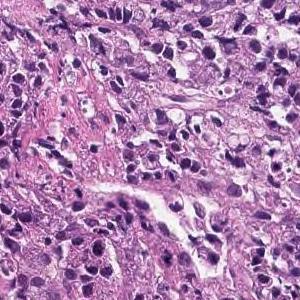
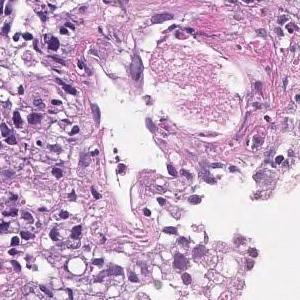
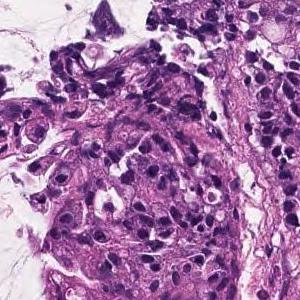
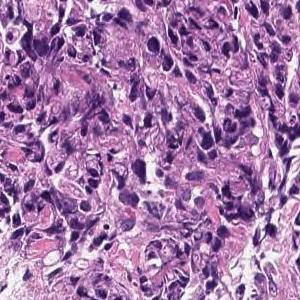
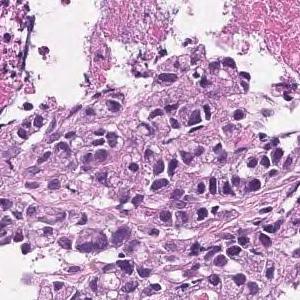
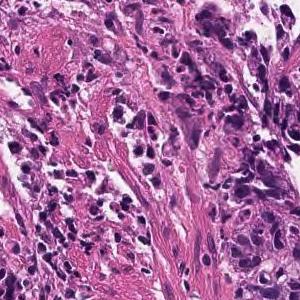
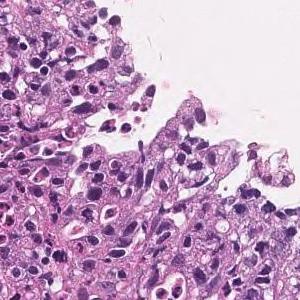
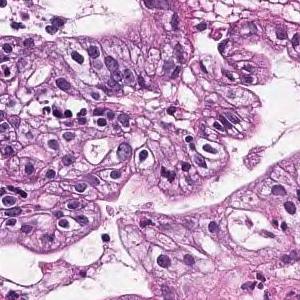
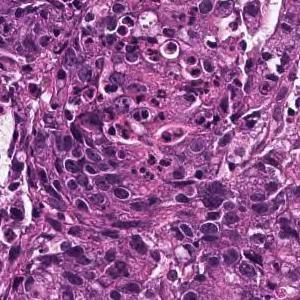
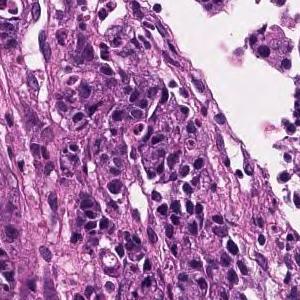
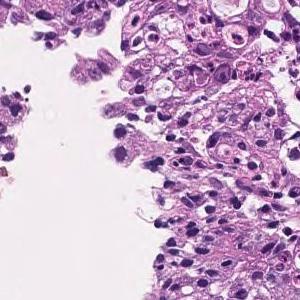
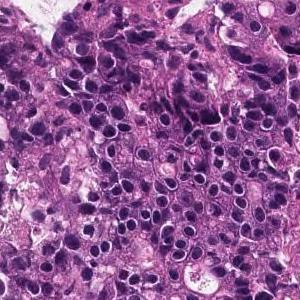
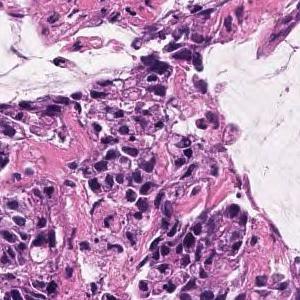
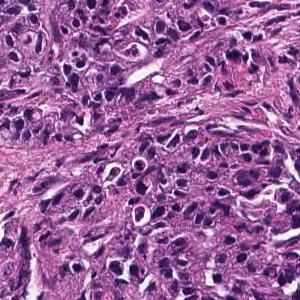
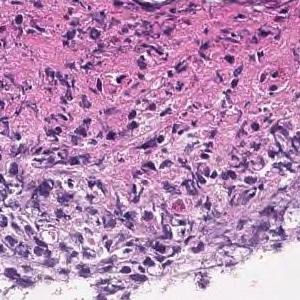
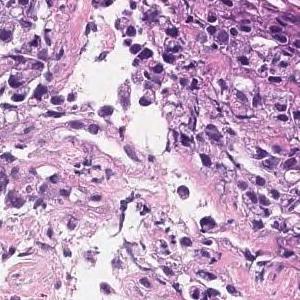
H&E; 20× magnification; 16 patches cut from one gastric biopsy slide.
Pathology report for the slide these tiles were cut from. The report and the diagnosis cover the entire slide, so not every feature they name need be visible here, and some tissue shown may not be tumor.
Medium to small, irregular glandular ducts are formed in the superficial epithelium, and in some cases, the glandular ducts are fused to show solid alveolar lesions and infiltrating tumor tissue is observed. Moderately to poorly differentiated adenocarcinoma.
